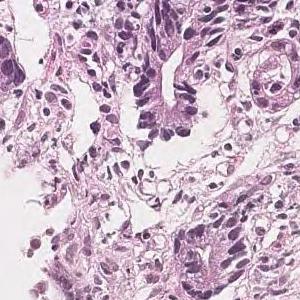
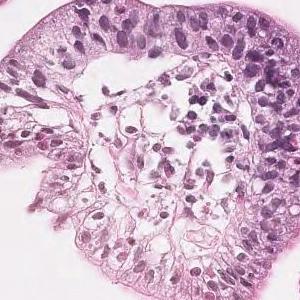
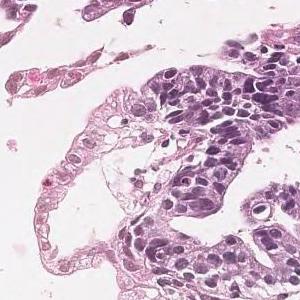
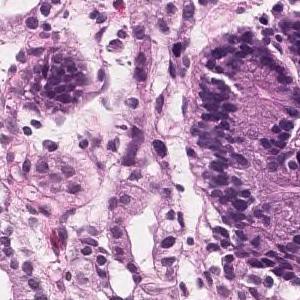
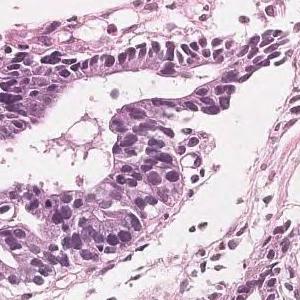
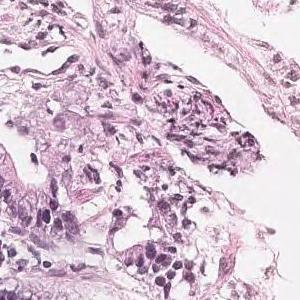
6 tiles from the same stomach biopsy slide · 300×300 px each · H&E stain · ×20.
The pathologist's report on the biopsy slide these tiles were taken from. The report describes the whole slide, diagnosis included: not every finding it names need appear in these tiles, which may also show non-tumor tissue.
Most of the tumor remains in the epithelium and shows a medium-sized circular system or irregular ducts, showing proliferating and developing tumor tissue. Well differentiated tubular adenocarcinoma
